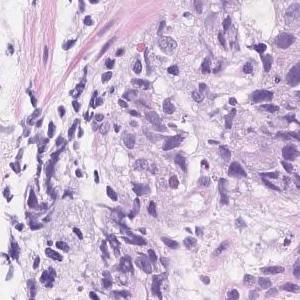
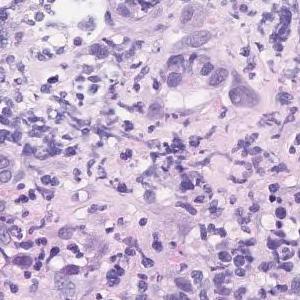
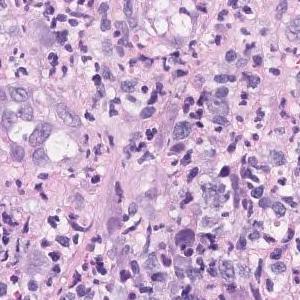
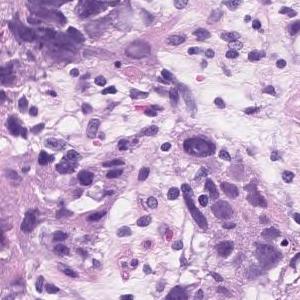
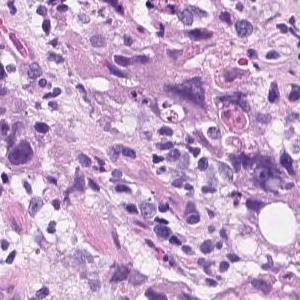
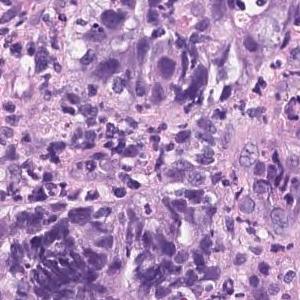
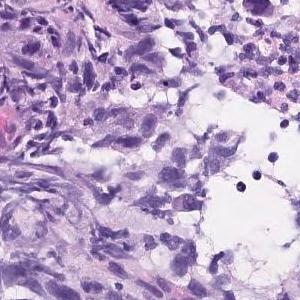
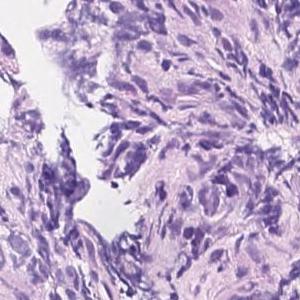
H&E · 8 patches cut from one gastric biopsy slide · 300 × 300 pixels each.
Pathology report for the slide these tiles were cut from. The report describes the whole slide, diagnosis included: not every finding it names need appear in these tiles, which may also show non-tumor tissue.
Atypical epithelial cells infiltrating and proliferating diffusely or while forming vesicles is observed. Poorly differentiated adenocarcinoma (poorly differentiated adenocarcinoma, solid type moderately differentiated tubular adenocarcinoma)
Dataset label: poorly differentiated adenocarcinoma, solid type, a category of the Japanese Classification of Gastric Carcinoma; in the WHO 2019 classification it is tubular adenocarcinoma, poorly differentiated.
